Hematoxylin and eosin stain; 20× magnification; 7 patches cut from one gastric biopsy slide.
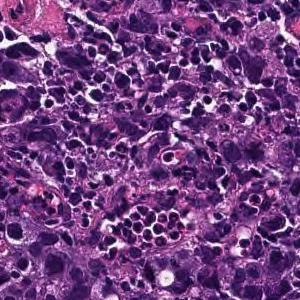
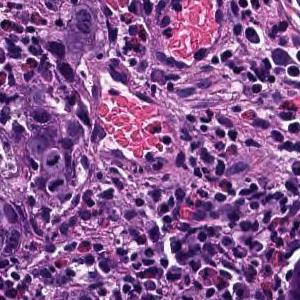
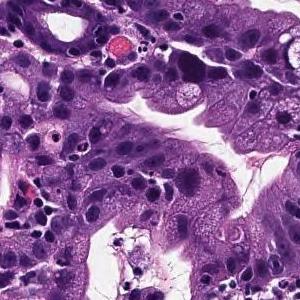
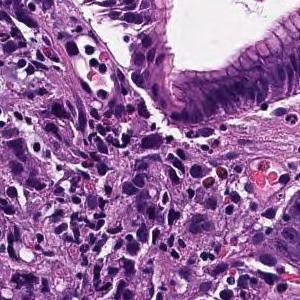
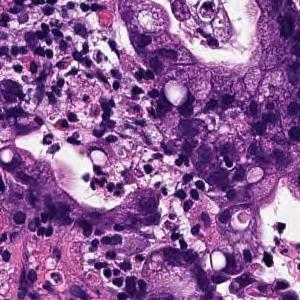
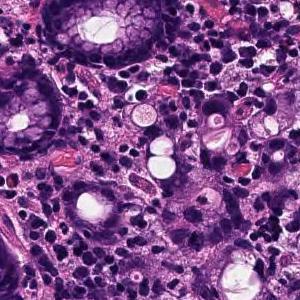
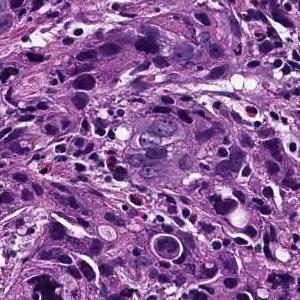
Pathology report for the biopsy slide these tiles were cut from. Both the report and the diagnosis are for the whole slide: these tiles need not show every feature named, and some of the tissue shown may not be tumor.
Tumor tissue consisting of medium-sized, cord-like or irregular glandular infiltration is observed in the superficial epithelium. Poorly differentiated adenocarcinoma, non-solid type or moderately differentiated tubular adenocarcinoma
Classified as moderately to poorly differentiated adenocarcinoma.
The non-solid type named here is a Japanese Classification of Gastric Carcinoma category.
